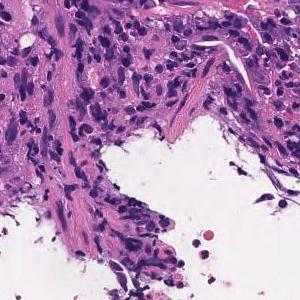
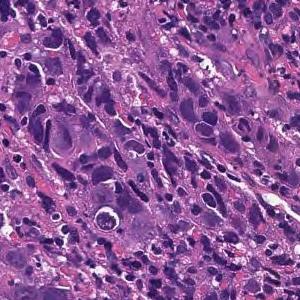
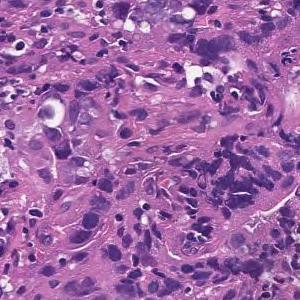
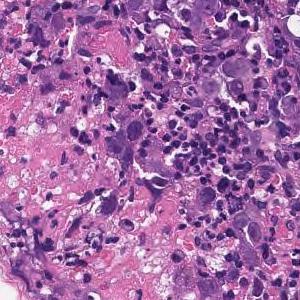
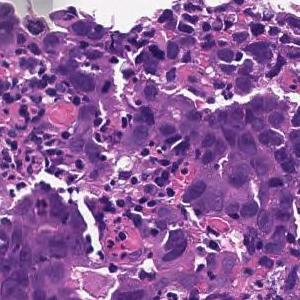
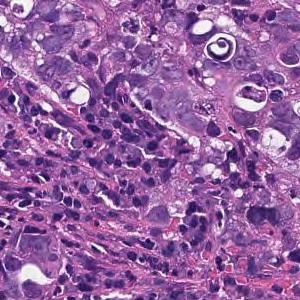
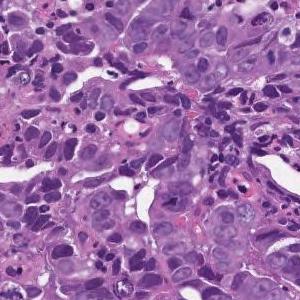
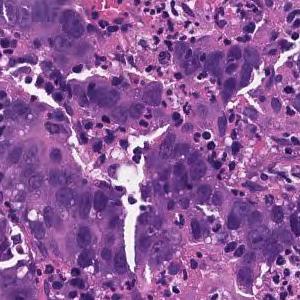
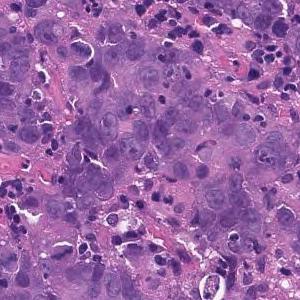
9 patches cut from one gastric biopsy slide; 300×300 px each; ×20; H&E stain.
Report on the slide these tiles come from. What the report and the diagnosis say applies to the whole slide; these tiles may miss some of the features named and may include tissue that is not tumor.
Tumor tissue consisting of cord-like or small, irregular glandular ducts fused and infiltrated is observed in the superficial epithelium. Poorly differentiated adenocarcinoma, non-solid type
"Non-solid type" is a category of the Japanese Classification of Gastric Carcinoma.
